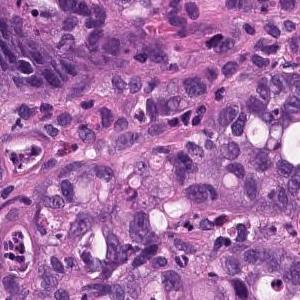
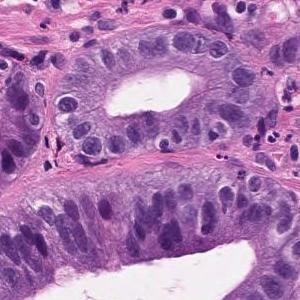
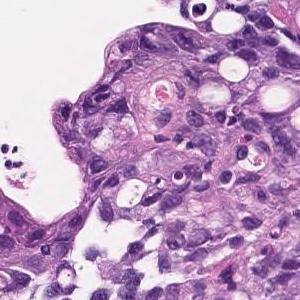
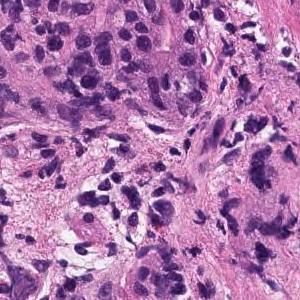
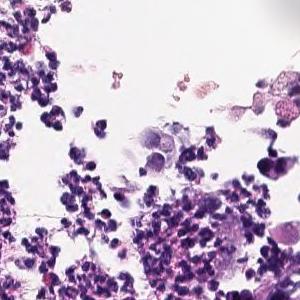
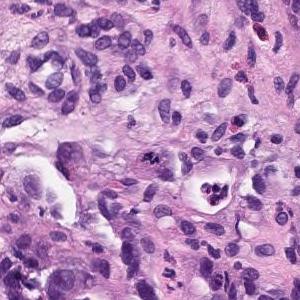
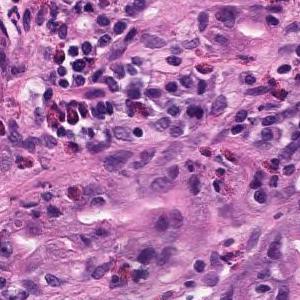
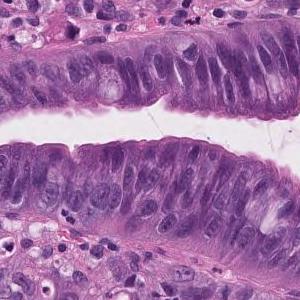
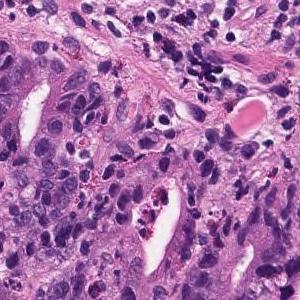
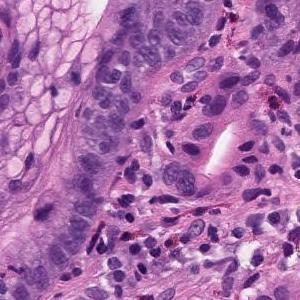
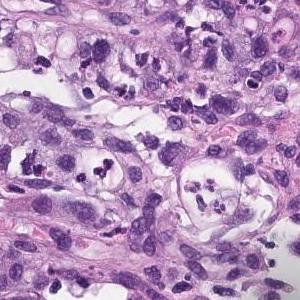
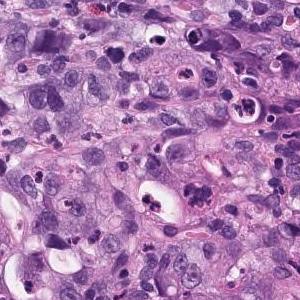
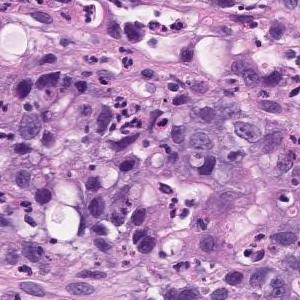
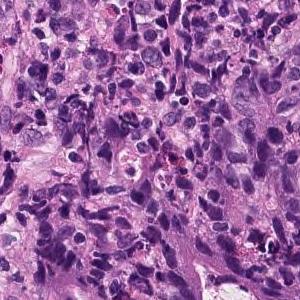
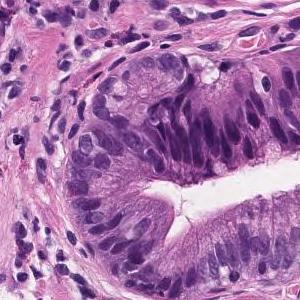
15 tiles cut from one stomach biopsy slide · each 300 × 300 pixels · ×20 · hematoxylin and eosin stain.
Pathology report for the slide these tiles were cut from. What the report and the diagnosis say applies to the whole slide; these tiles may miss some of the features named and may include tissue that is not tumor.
moderately differentiated tubular adenocarcinoma, Poorly differentiated adenocarcinoma
Dataset label: poorly differentiated adenocarcinoma, solid type, a category of the Japanese Classification of Gastric Carcinoma; in the WHO 2019 classification it is tubular adenocarcinoma, poorly differentiated.
